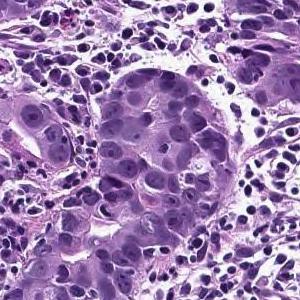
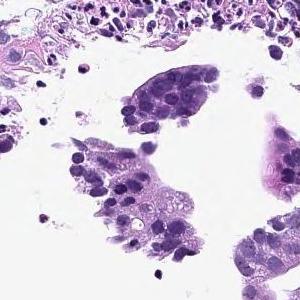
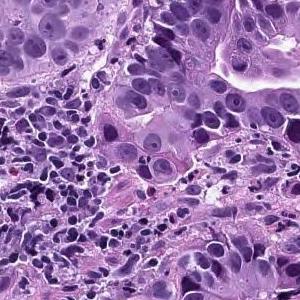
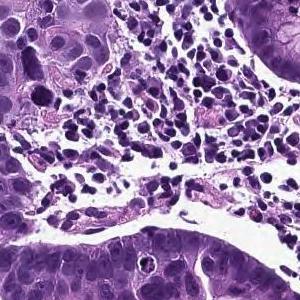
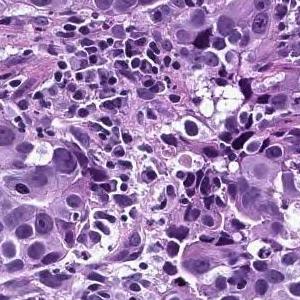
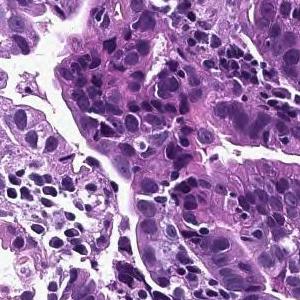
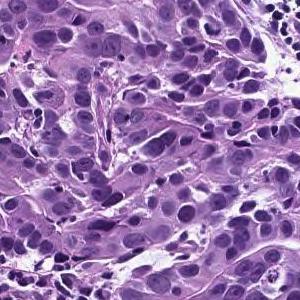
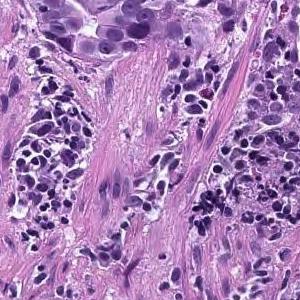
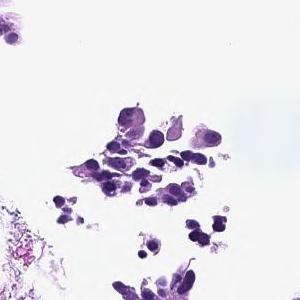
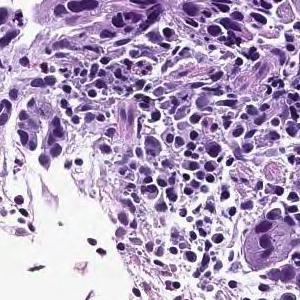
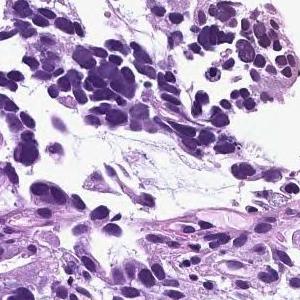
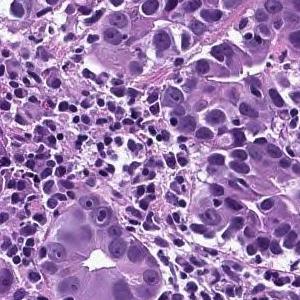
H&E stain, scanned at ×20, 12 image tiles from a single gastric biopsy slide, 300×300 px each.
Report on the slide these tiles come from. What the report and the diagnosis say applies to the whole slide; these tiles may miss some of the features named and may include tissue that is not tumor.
In the superficial epithelium, tumor tissue that invades by forming medium-sized to small, irregular ducts is observed. moderately differentiated tubular adenocarcinoma.
